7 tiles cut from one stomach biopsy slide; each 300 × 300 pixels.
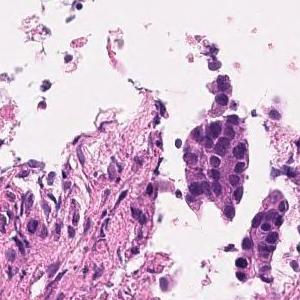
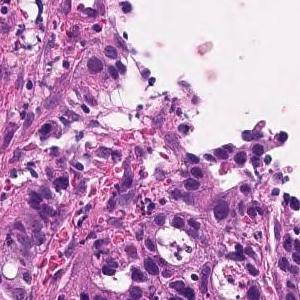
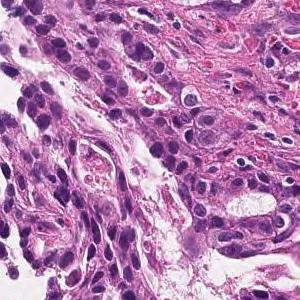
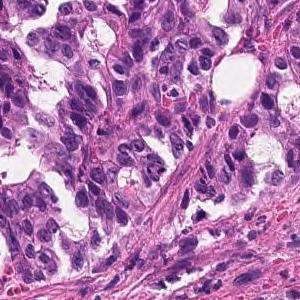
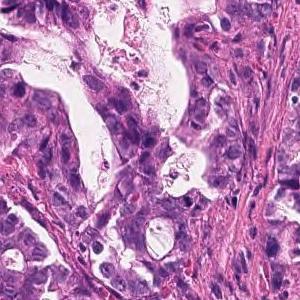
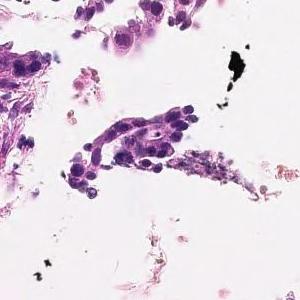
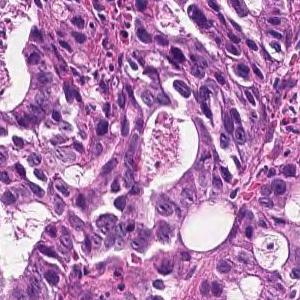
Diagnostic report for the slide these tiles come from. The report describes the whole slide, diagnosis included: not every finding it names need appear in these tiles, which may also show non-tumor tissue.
On the superficial epithelium, tumor tissue consisting of images of small to medium-sized and irregular tubules infiltrating with irregular fusion is observed. moderately differentiated tubular adenocarcinoma
